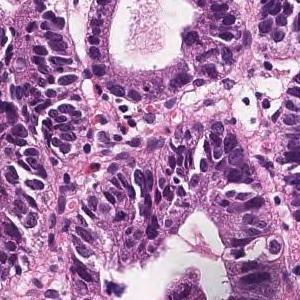
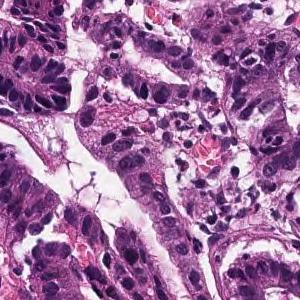
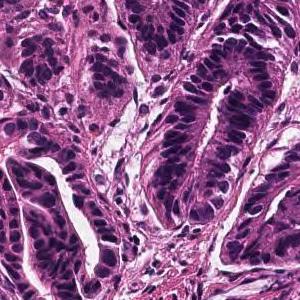
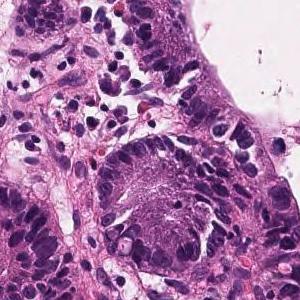
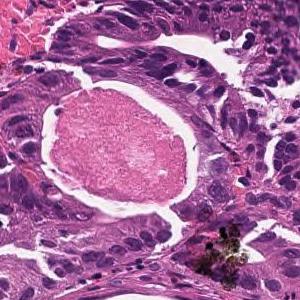
5 patches cut from one gastric biopsy slide; 300 × 300 pixels each; H&E stain; scanned at ×20.
The pathologist's report on the biopsy slide these tiles were taken from. Both the report and the diagnosis are for the whole slide: these tiles need not show every feature named, and some of the tissue shown may not be tumor.
Atypical epithelium with nuclear swelling is seen to form and proliferate large and small ducts, often with necrosis in the lumen. Well differentiated tubular adenocarcinoma
